H&E; scanned at ×20; 10 image tiles from a single gastric biopsy slide; 300 × 300 pixels each.
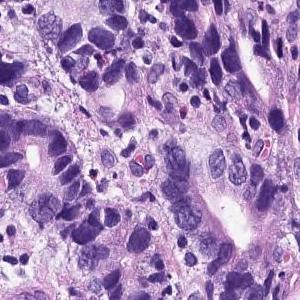
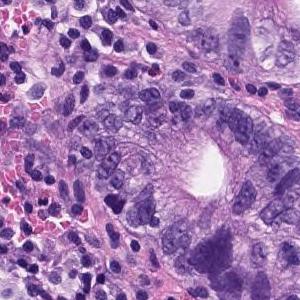
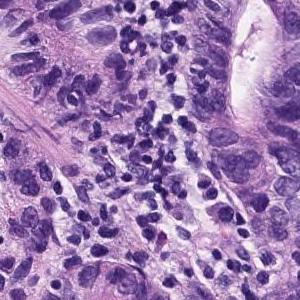
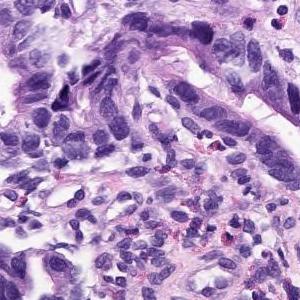
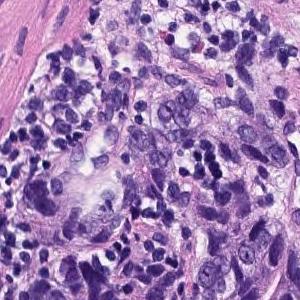
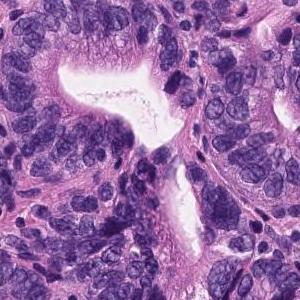
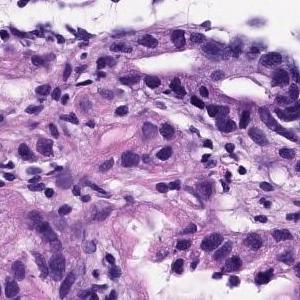
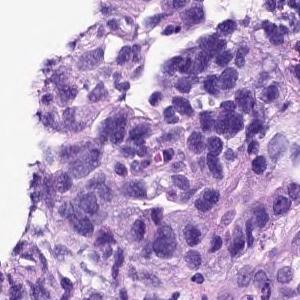
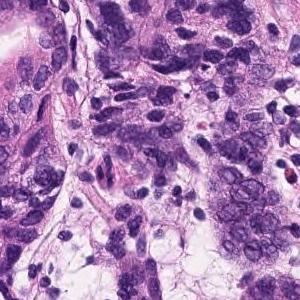
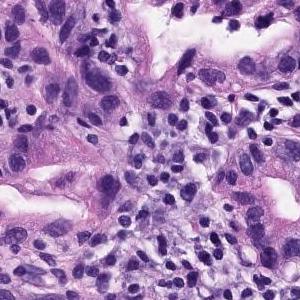
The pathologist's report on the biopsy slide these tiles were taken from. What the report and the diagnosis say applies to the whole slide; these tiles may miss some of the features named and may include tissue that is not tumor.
On the superficial epithelium, tumor tissue consisting of images showing invasive growth with small, irregular tubules partially fused is observed. moderately differentiated tubular adenocarcinoma
